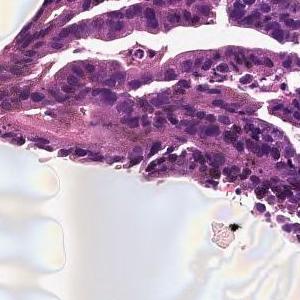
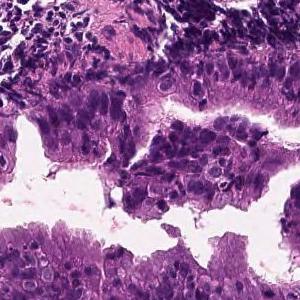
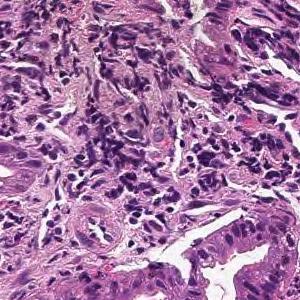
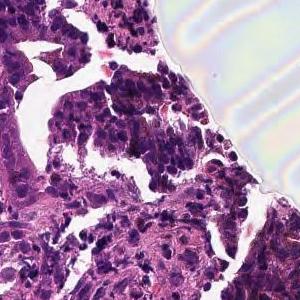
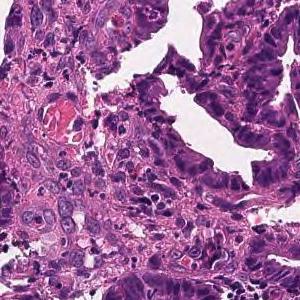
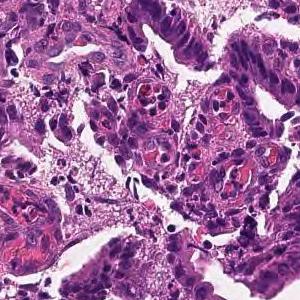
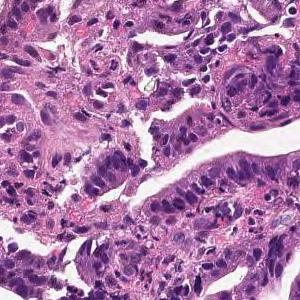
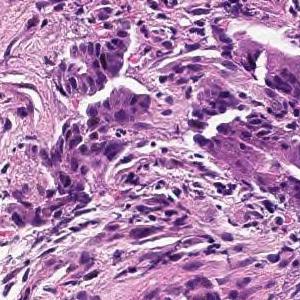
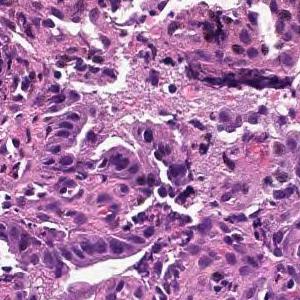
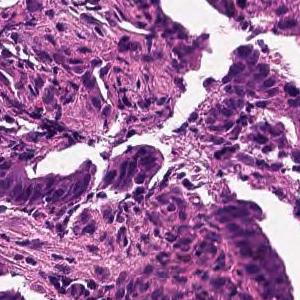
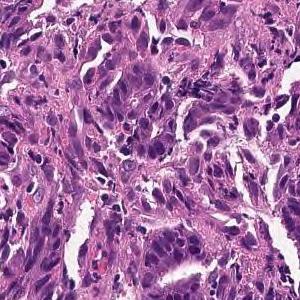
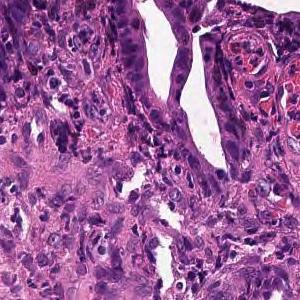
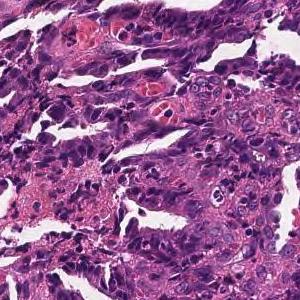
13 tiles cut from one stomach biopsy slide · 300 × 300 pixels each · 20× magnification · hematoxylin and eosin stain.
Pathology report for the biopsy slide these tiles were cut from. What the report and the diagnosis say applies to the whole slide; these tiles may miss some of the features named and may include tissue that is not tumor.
From the superficial epithelium to the muscularis mucosae, tumor tissue consisting of medium-sized and irregular glandular ducts infiltrating is observed. Well differentiated tubular adenocarcinoma
